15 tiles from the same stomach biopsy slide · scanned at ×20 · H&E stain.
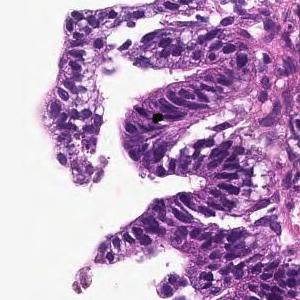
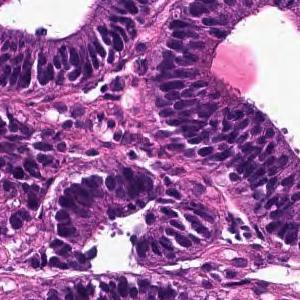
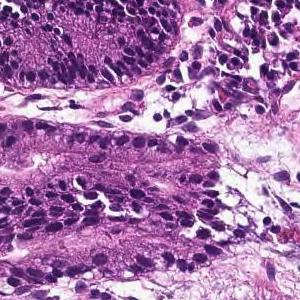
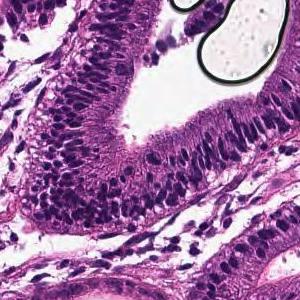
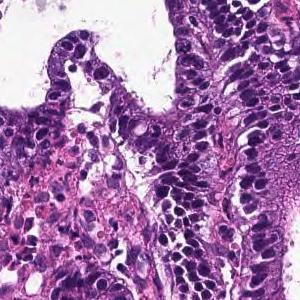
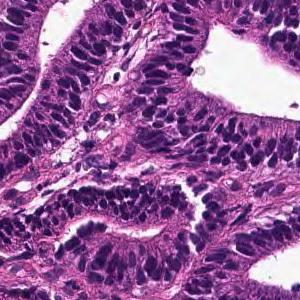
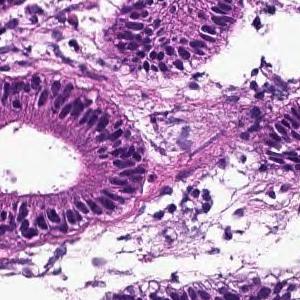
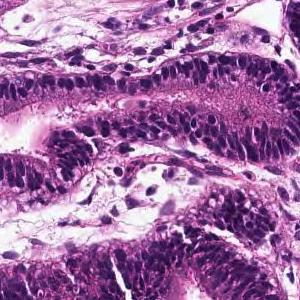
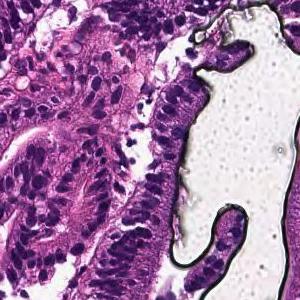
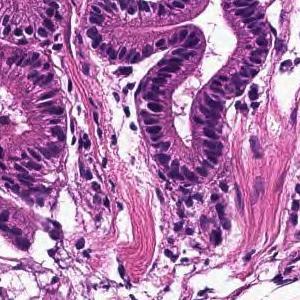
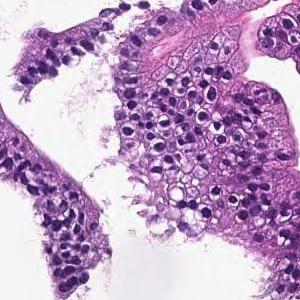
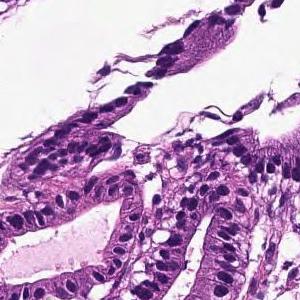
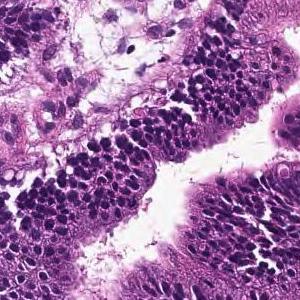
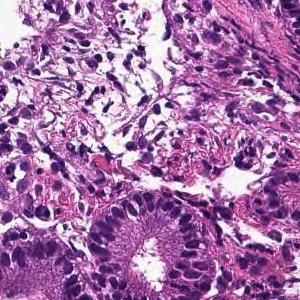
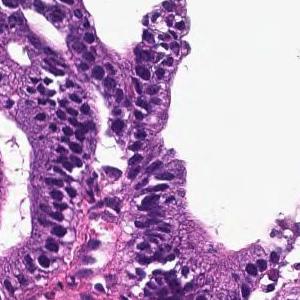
The pathologist's report on the biopsy slide these tiles were taken from. The findings and the diagnosis refer to the entire slide; these tiles show only part of it, possibly with non-tumor tissue, and may not show every feature named.
On the superficial epithelium, tumor tissue that infiltrates by forming medium-sized round or small irregular ducts is observed. Papillary adenocarcinoma
